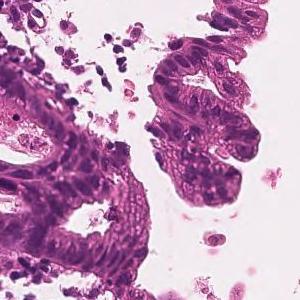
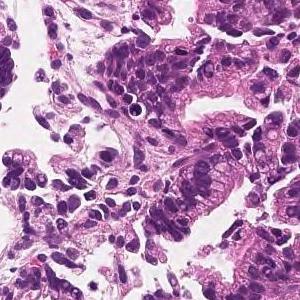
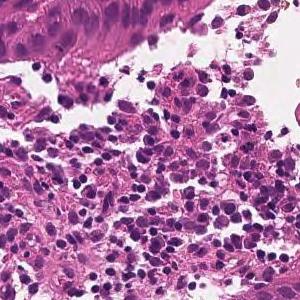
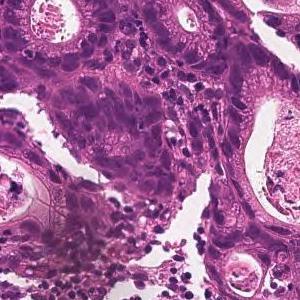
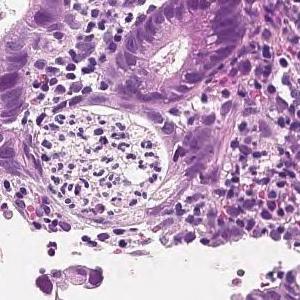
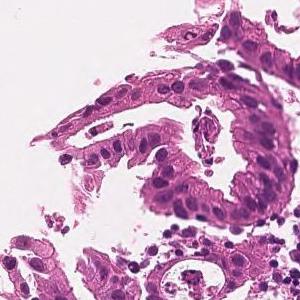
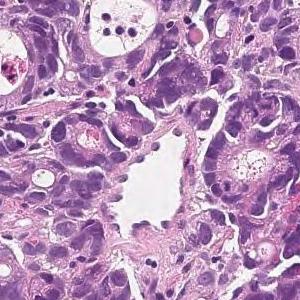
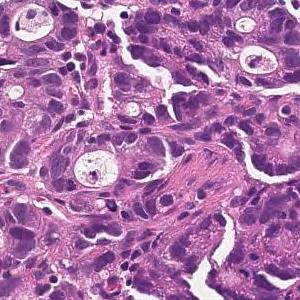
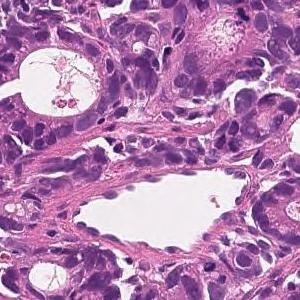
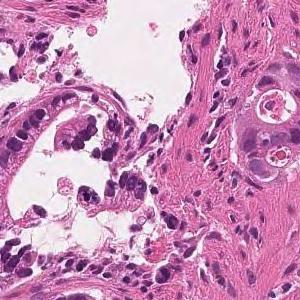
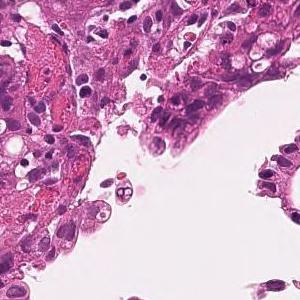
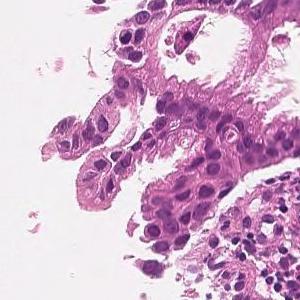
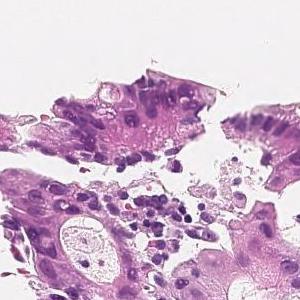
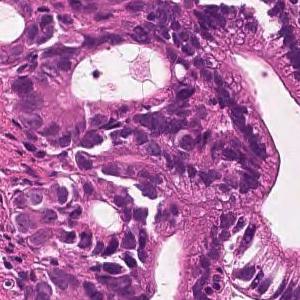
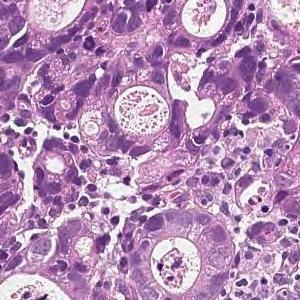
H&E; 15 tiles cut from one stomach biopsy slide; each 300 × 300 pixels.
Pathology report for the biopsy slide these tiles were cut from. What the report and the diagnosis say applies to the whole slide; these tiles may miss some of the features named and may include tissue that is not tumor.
On the superficial epithelium, tumor tissue is found in which medium-sized irregular gland ducts fuse with each other and infiltrate. moderately differentiated tubular adenocarcinoma
